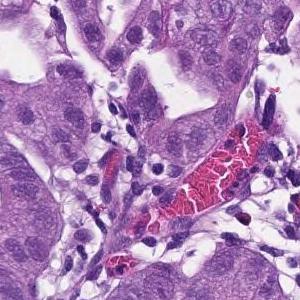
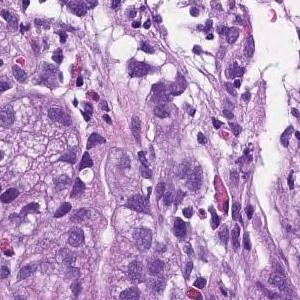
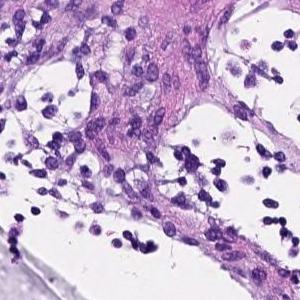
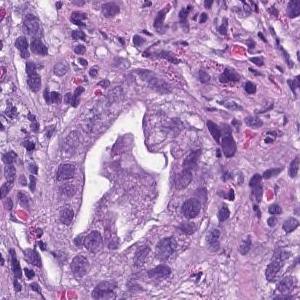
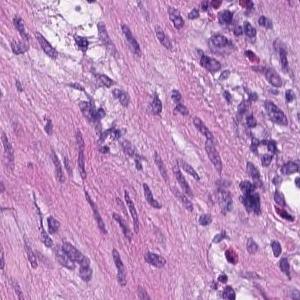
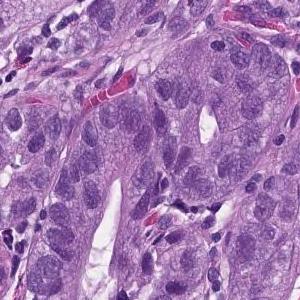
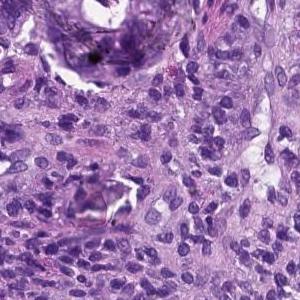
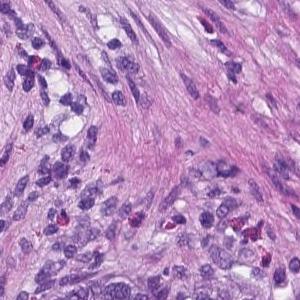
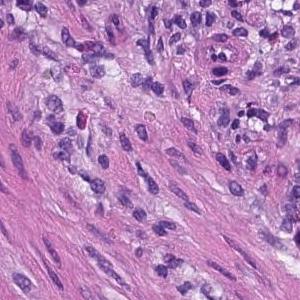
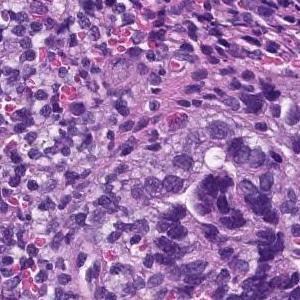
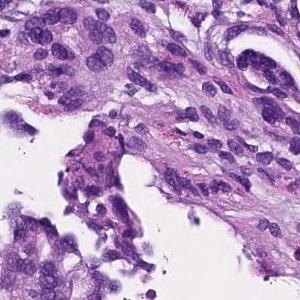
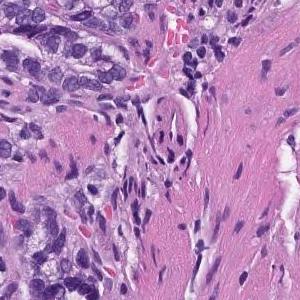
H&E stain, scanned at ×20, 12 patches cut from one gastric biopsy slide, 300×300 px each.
Pathology report for the biopsy slide these tiles were cut from. The report and the diagnosis cover the entire slide, so not every feature they name need be visible here, and some tissue shown may not be tumor.
From the superficial epithelium to the muscularis mucosae, tumor tissue consisting of medium-sized and irregular glandular ducts infiltrating is observed. Well differentiated tubular adenocarcinoma
